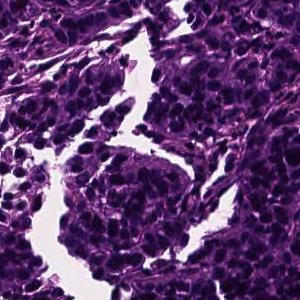
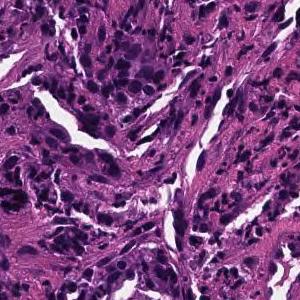
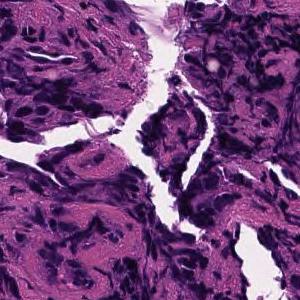
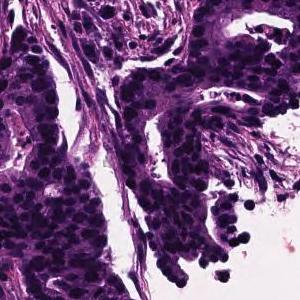
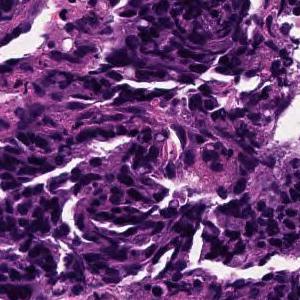
5 tiles from the same stomach biopsy slide; each 300 × 300 pixels; hematoxylin and eosin stain; ×20.
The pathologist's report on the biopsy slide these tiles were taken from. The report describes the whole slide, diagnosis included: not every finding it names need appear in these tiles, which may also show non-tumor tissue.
In the superficial epithelium, tumor tissue that invades by forming medium-sized to small, irregular ducts is observed. moderately differentiated tubular adenocarcinoma.
